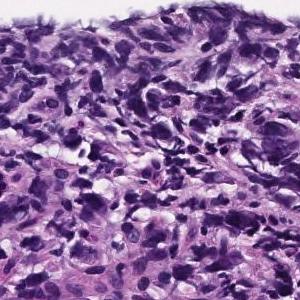
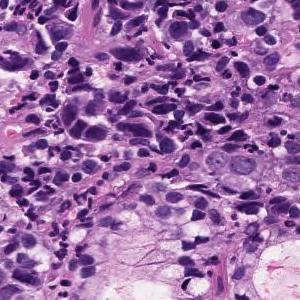
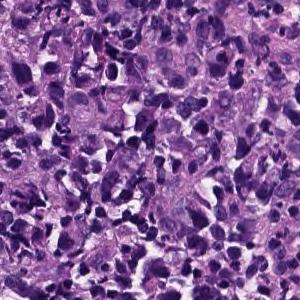
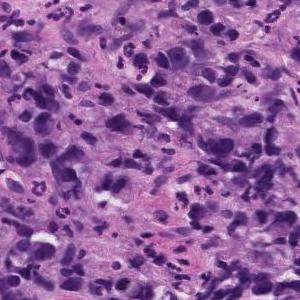
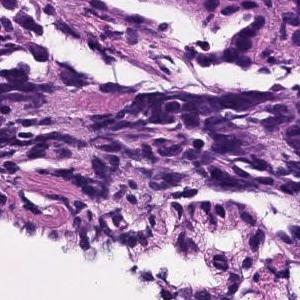
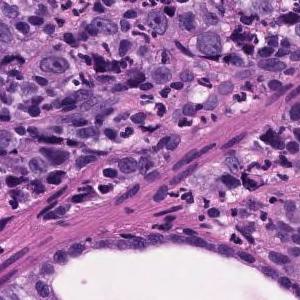
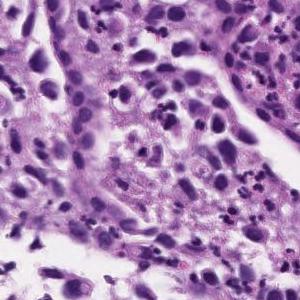
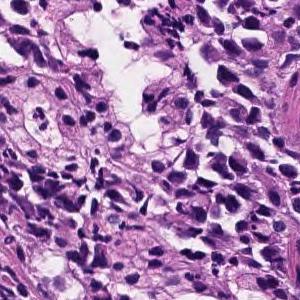
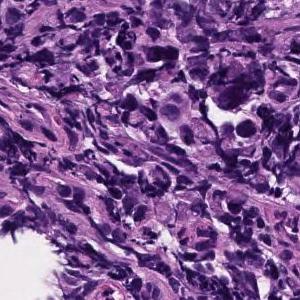
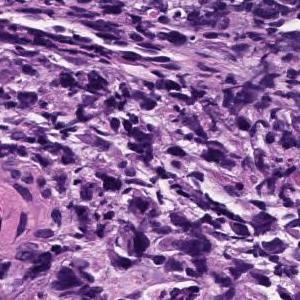
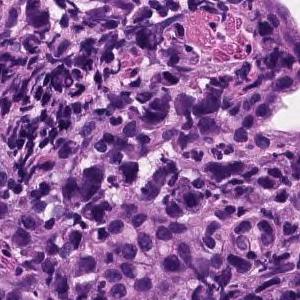
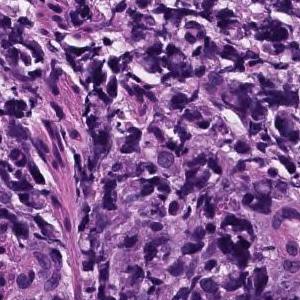
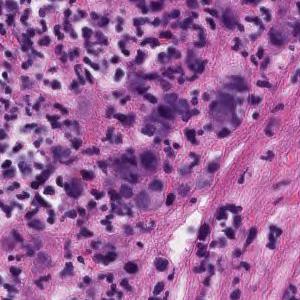
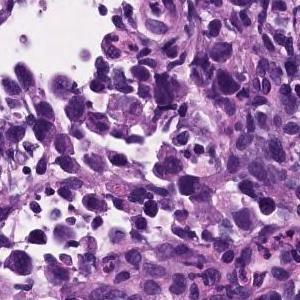
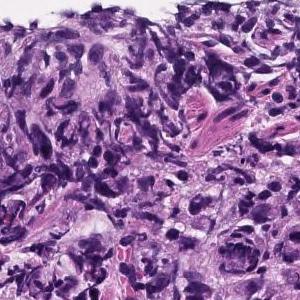
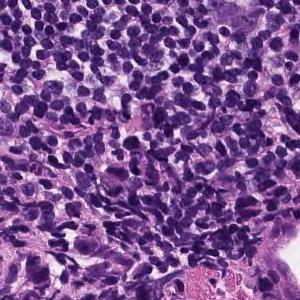
16 image tiles from a single gastric biopsy slide, each 300 × 300 pixels, 20× magnification, H&E stain.
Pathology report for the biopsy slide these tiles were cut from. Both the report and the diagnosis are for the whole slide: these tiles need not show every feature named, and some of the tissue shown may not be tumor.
Poorly differentiated, solid adenocarcinoma (poorly differentiated adenocarcinoma, solid type) with tumor tissue diffusely infiltrated with atypical epithelial cells
Subtype: Poorly differentiated adenocarcinoma, solid type. This name comes from the Japanese Classification of Gastric Carcinoma; the WHO 2019 classification calls it tubular adenocarcinoma, poorly differentiated.
